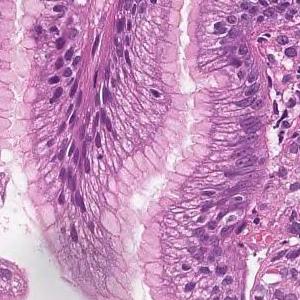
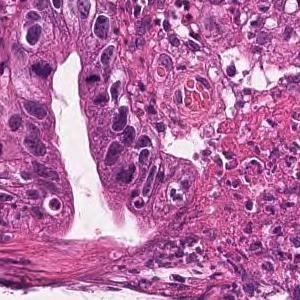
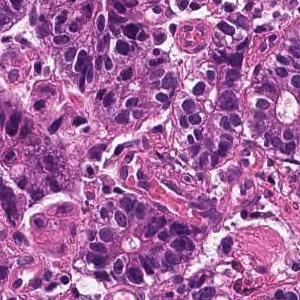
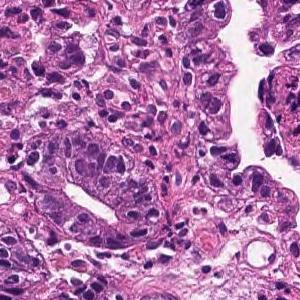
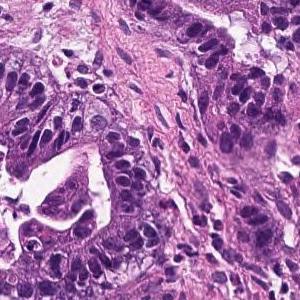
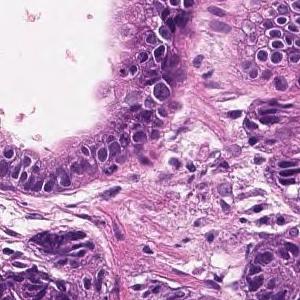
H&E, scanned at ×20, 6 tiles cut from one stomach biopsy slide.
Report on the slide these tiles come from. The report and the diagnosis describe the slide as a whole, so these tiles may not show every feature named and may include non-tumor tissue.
In the superficial epithelium, tumor tissue that invades by forming medium-sized to small, irregular ducts is observed. Well differentiated tubular adenocarcinoma.
